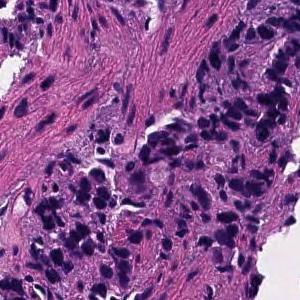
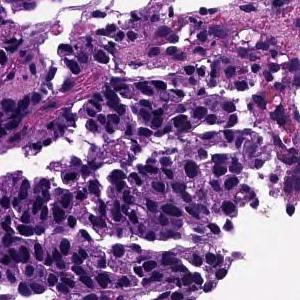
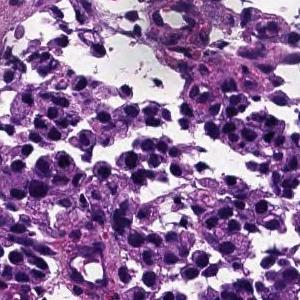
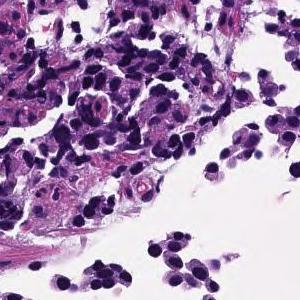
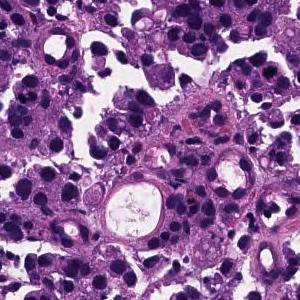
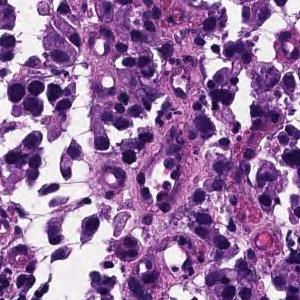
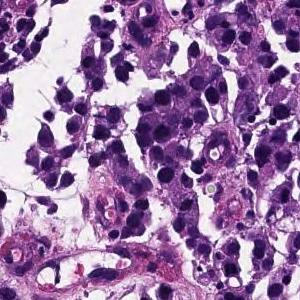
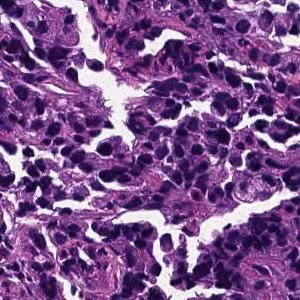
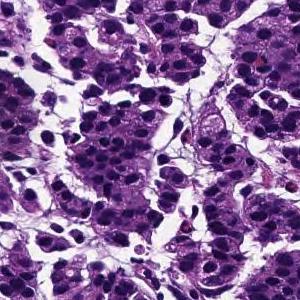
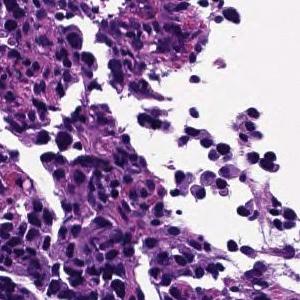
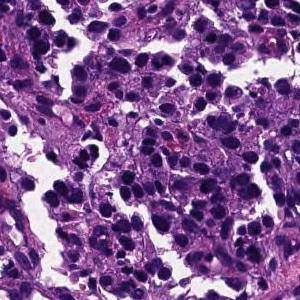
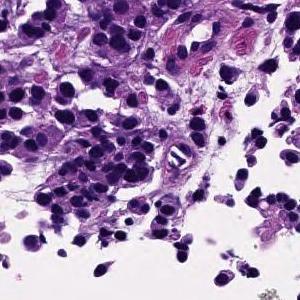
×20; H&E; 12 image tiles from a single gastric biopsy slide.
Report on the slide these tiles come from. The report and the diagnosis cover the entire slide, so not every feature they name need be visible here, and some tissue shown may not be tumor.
The superficial epithelium shows a large alveolar shape and infiltrates tumor tissue. Poorly differentiated adenocarcinoma, solid-type
Histologic type: Poorly differentiated adenocarcinoma, solid type. This name comes from the Japanese Classification of Gastric Carcinoma; the WHO 2019 classification calls it tubular adenocarcinoma, poorly differentiated.
